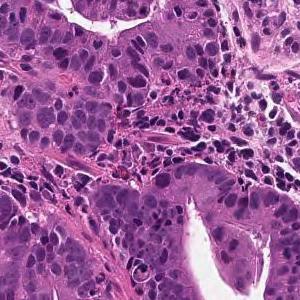
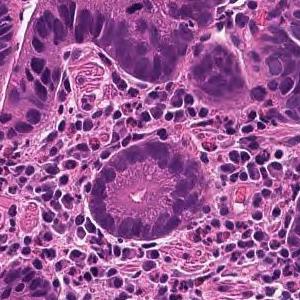
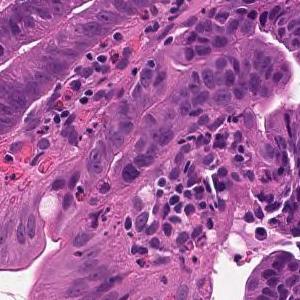
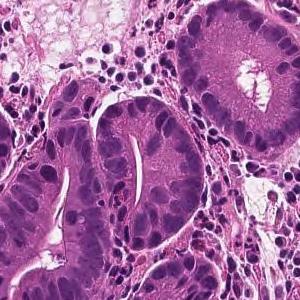
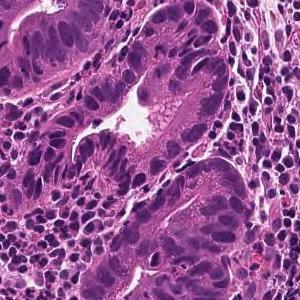
5 tiles from the same stomach biopsy slide · H&E · scanned at ×20.
Pathology report for the slide these tiles were cut from. The report and the diagnosis describe the slide as a whole, so these tiles may not show every feature named and may include non-tumor tissue.
From the superficial epithelium to the muscularis mucosae, tumor tissue consisting of medium-sized and irregular glandular ducts infiltrating is observed. Well differentiated tubular adenocarcinoma
